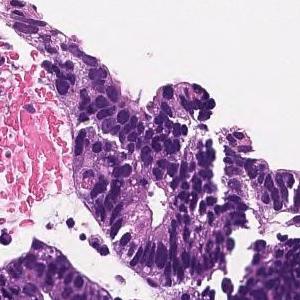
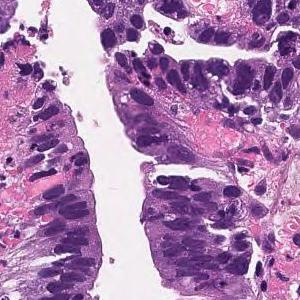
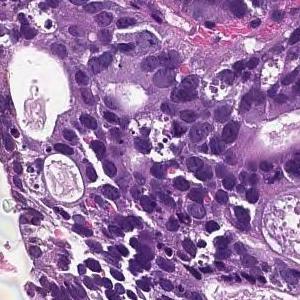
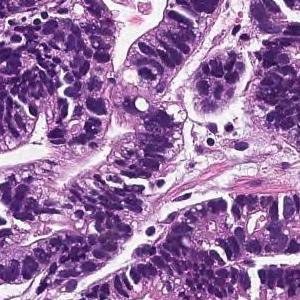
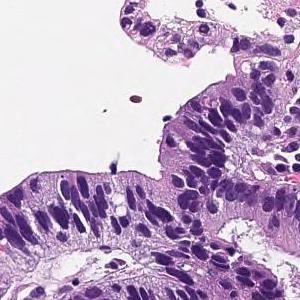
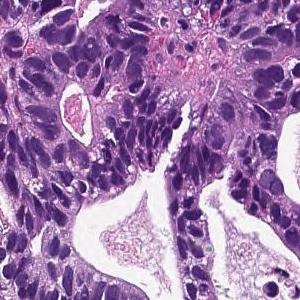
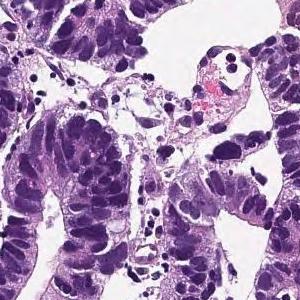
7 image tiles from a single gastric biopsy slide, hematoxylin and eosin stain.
Report on the slide these tiles come from. The report and the diagnosis cover the entire slide, so not every feature they name need be visible here, and some tissue shown may not be tumor.
In the superficial epithelium, tumor tissue that invades by forming medium-sized to small, irregular ducts is observed. moderately differentiated tubular adenocarcinoma.
